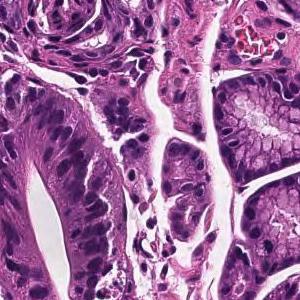
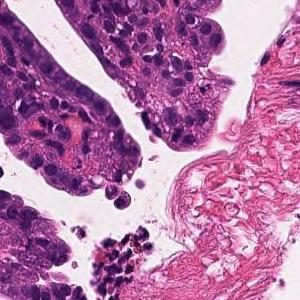
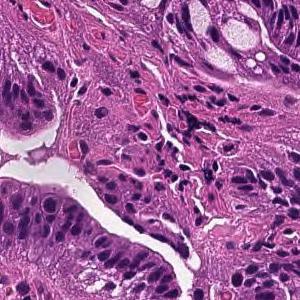
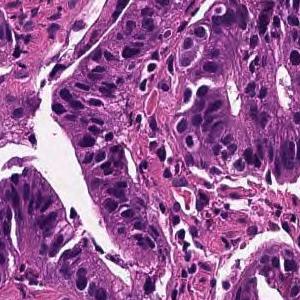
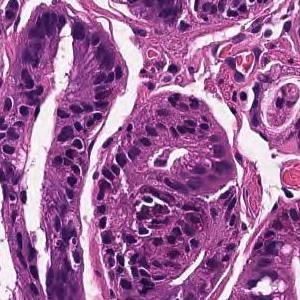
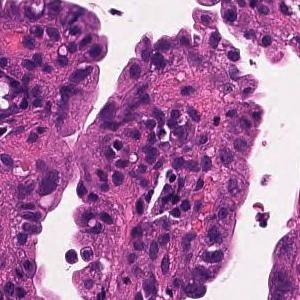
20× magnification · 6 tiles cut from one stomach biopsy slide.
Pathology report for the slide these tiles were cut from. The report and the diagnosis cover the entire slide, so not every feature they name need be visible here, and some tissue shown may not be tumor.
On the superficial epithelium, tumor tissue that infiltrates by forming medium-sized papillary or small irregular ducts is observed. Papillary adenocarcinoma
